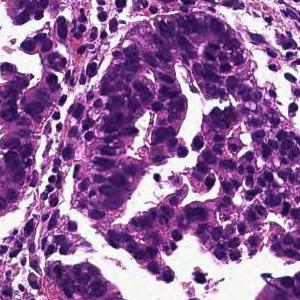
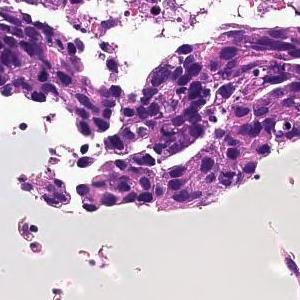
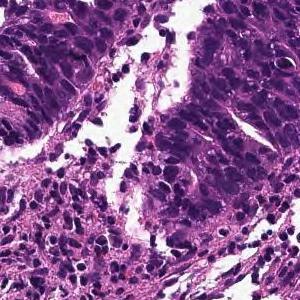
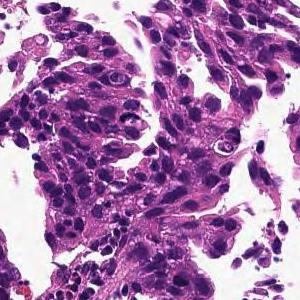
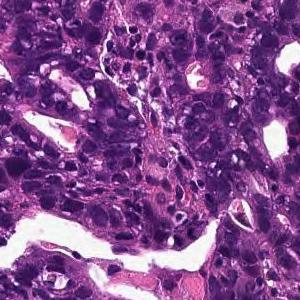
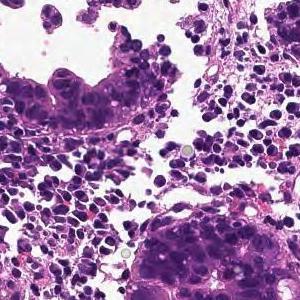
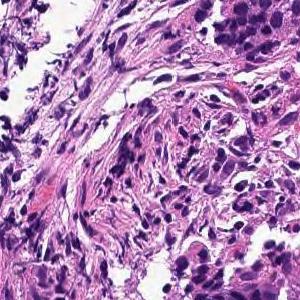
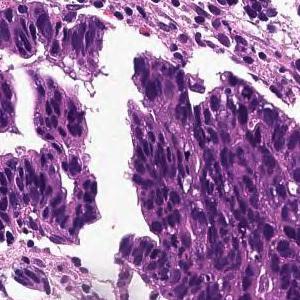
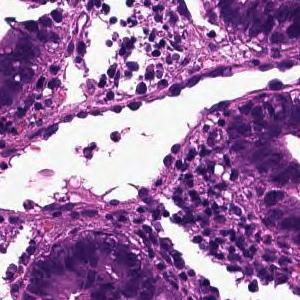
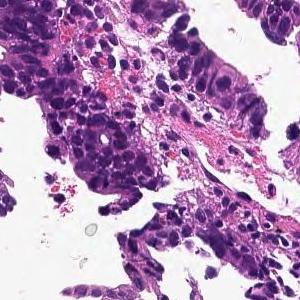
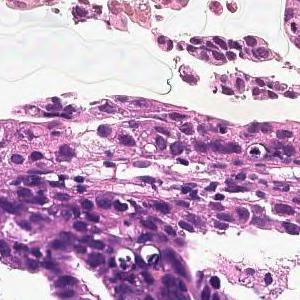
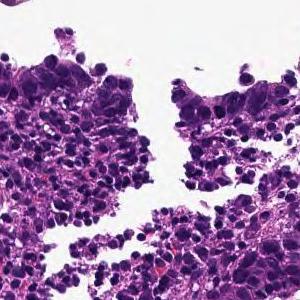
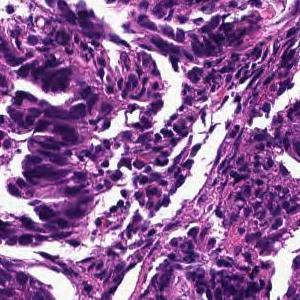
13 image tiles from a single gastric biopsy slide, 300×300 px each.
Diagnostic report for the slide these tiles come from. The report and the diagnosis cover the entire slide, so not every feature they name need be visible here, and some tissue shown may not be tumor.
In the superficial epithelium, tumor tissue that invades by forming medium-sized to small, irregular ducts is observed. moderately differentiated tubular adenocarcinoma.
